Scanned at ×20; 7 image tiles from a single gastric biopsy slide.
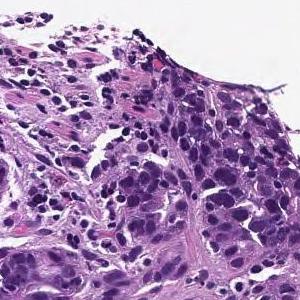
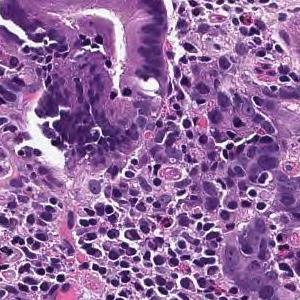
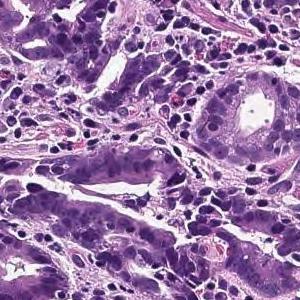
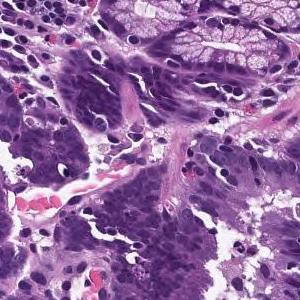
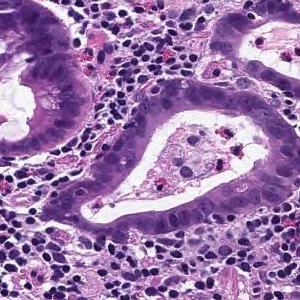
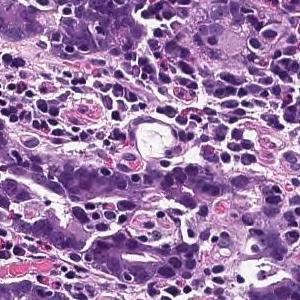
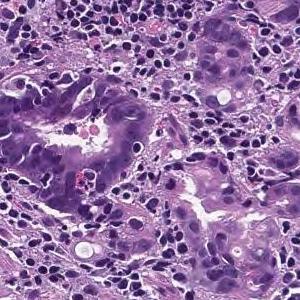
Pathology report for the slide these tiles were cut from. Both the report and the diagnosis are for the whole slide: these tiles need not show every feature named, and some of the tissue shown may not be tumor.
In the superficial epithelium, tumor tissue that invades by forming medium-sized to small, irregular ducts is observed. moderately differentiated tubular adenocarcinoma.
